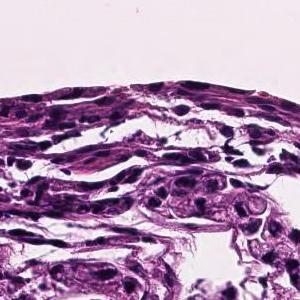
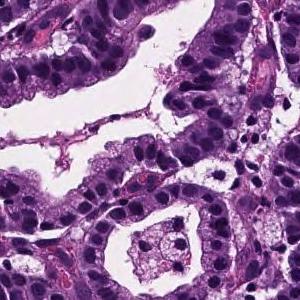
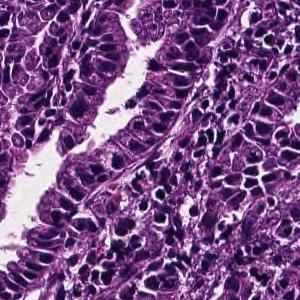
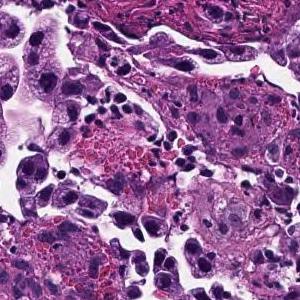
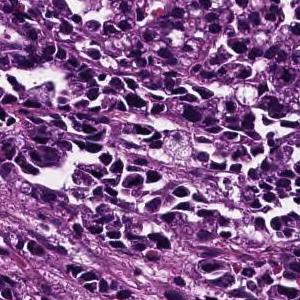
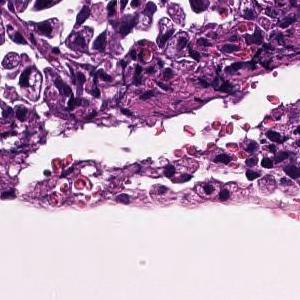
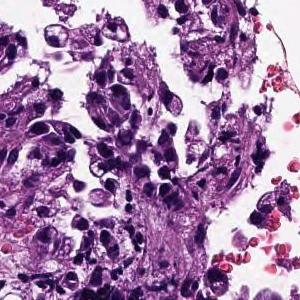
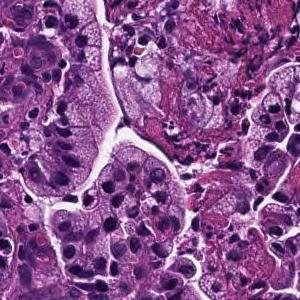
H&E, 8 image tiles from a single gastric biopsy slide, each 300 × 300 pixels.
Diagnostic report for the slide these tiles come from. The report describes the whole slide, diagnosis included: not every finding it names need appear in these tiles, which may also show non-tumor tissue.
Tumor cells are large, highly columnar, large club-shaped nuclei, and are associated with chromatin aggregation. Papillary adenocarcinoma.
